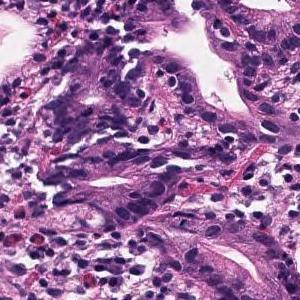
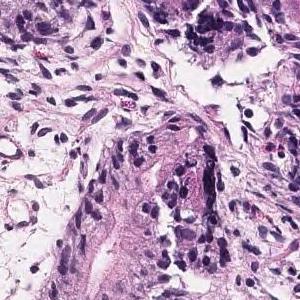
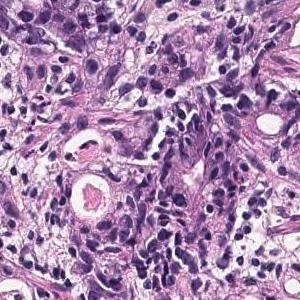
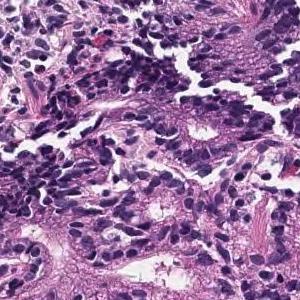
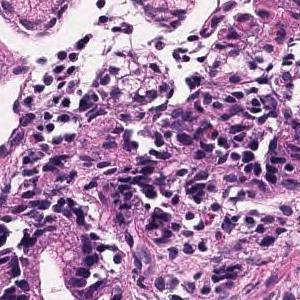
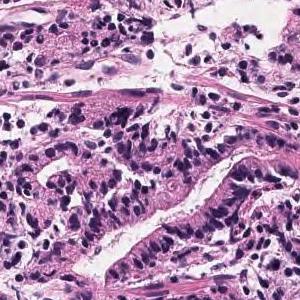
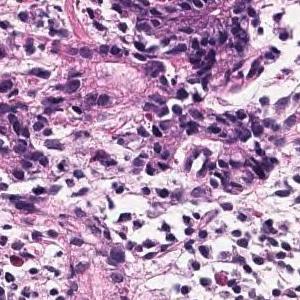
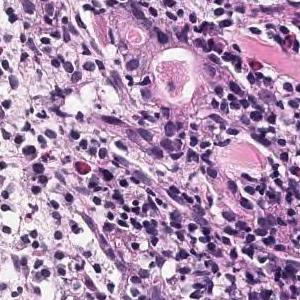
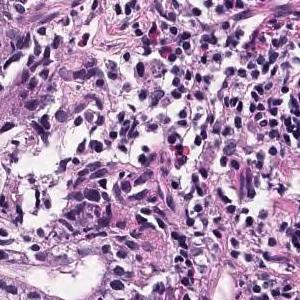
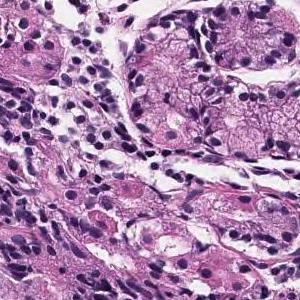
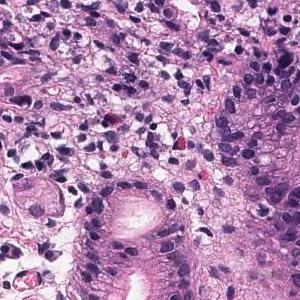
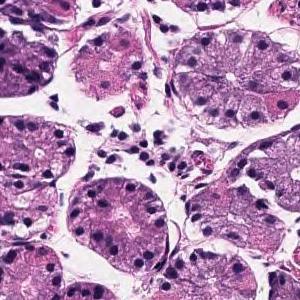
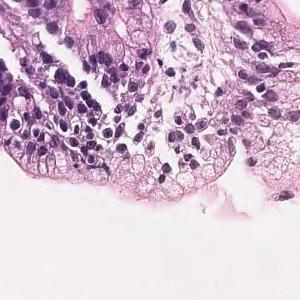
13 tiles cut from one stomach biopsy slide · H&E stain · ×20.
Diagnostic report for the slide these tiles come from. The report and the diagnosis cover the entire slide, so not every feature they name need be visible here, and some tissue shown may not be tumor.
Tumor tissue that grows and grows is observed, showing a medium-sized round or irregular duct. moderately differentiated tubular adenocarcinoma
